H&E stain · 7 patches cut from one gastric biopsy slide · 300×300 px each.
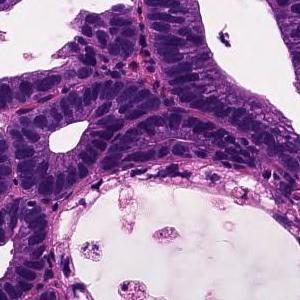
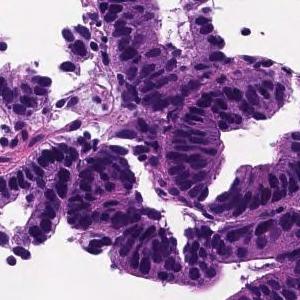
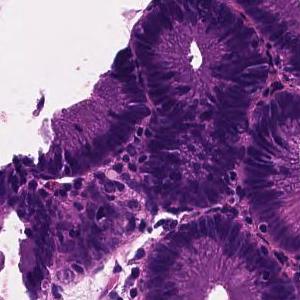
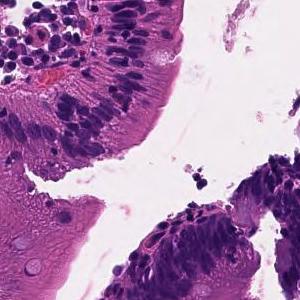
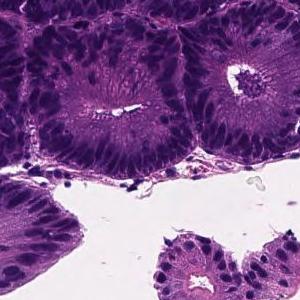
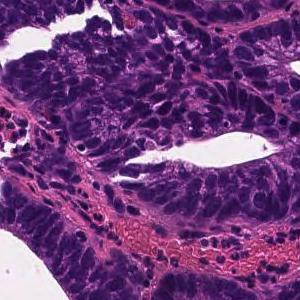
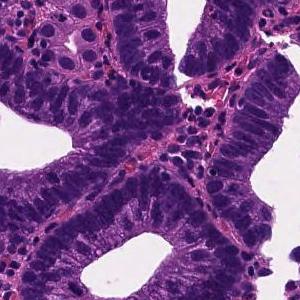
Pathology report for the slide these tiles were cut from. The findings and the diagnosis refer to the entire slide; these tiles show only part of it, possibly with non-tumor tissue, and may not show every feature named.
Tumor tissue in which medium to small irregular ducts infiltrate and proliferate in the submucosa can be seen in the epithelium. Well differentiated tubular adenocarcinoma
